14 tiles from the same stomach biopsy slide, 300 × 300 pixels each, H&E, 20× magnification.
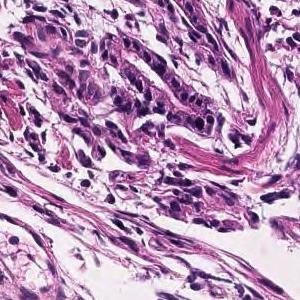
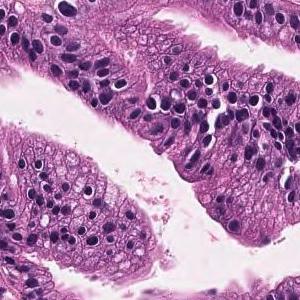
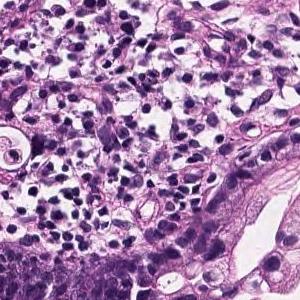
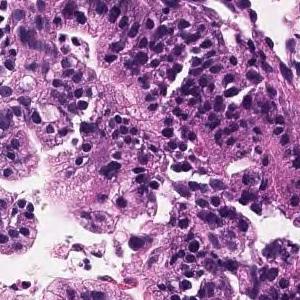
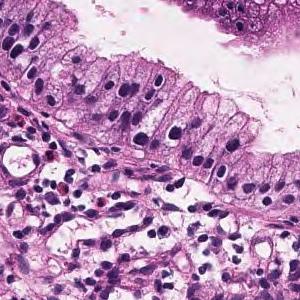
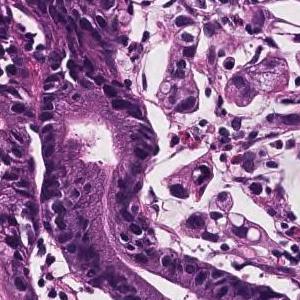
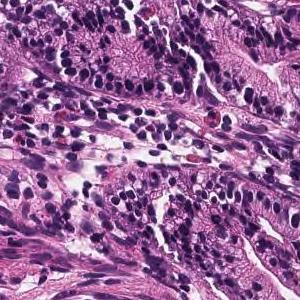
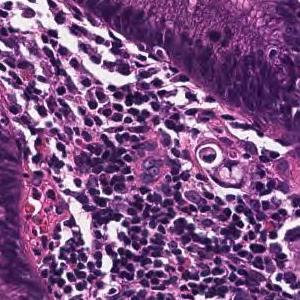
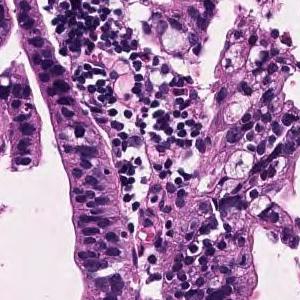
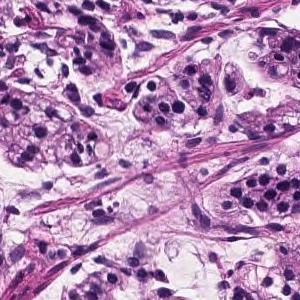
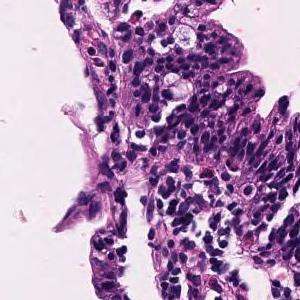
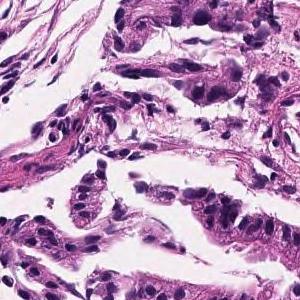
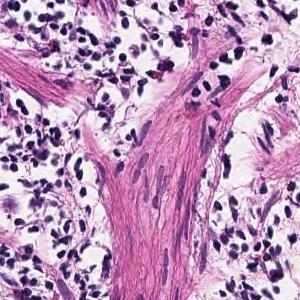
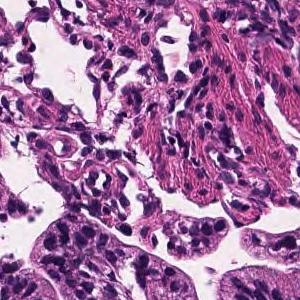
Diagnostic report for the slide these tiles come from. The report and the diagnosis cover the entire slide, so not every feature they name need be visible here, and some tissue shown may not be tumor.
Tumor tissue consisting of large papillary structures or irregular glandular ducts partially fused and infiltrated is observed in the superficial epithelium. Well to moderately differentiated tubular adenocarcinoma.
Dataset label: moderately differentiated tubular adenocarcinoma.
